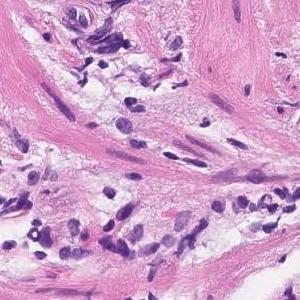
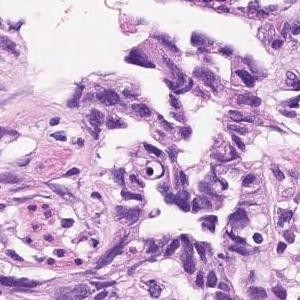
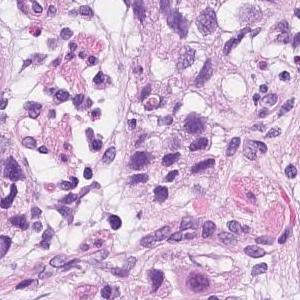
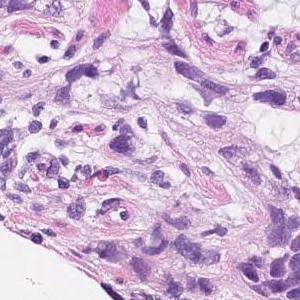
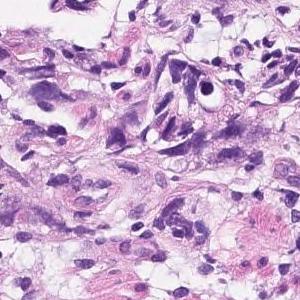
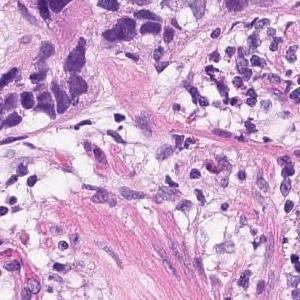
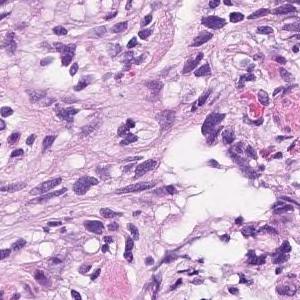
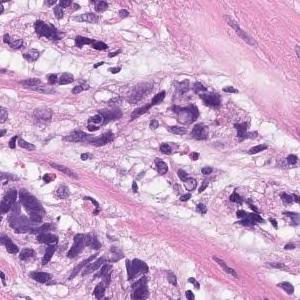
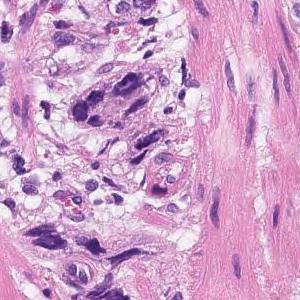
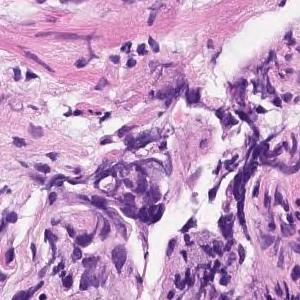
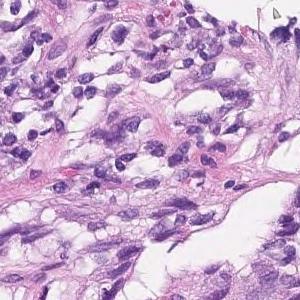
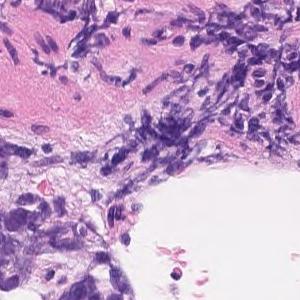
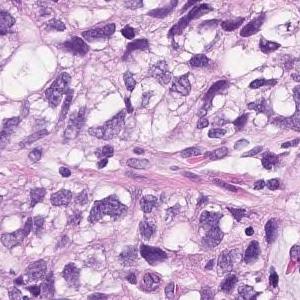
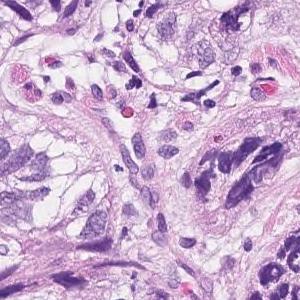
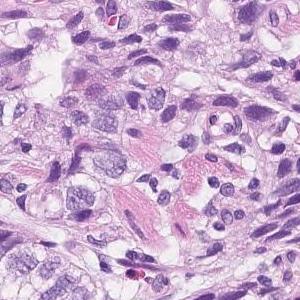
15 tiles from the same stomach biopsy slide; 300 × 300 pixels each; H&E stain; 20× magnification.
Diagnostic report for the slide these tiles come from. The report describes the whole slide, diagnosis included: not every finding it names need appear in these tiles, which may also show non-tumor tissue.
In the superficial epithelium, tumor tissue that invades by forming medium-sized to small, irregular ducts is observed. Moderately differentiated adenocarcinoma.
Classified as moderately differentiated tubular adenocarcinoma.
